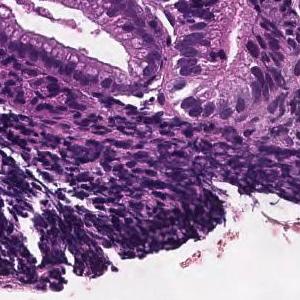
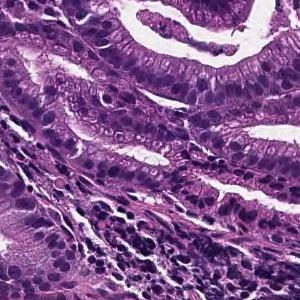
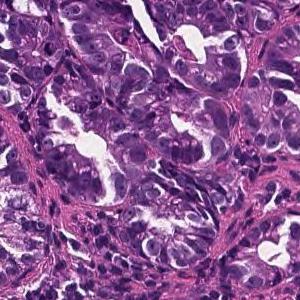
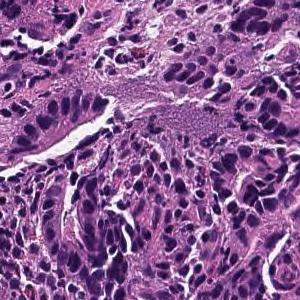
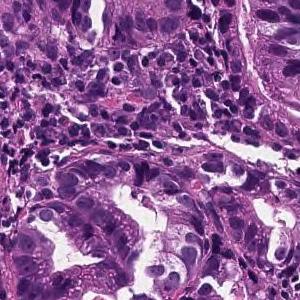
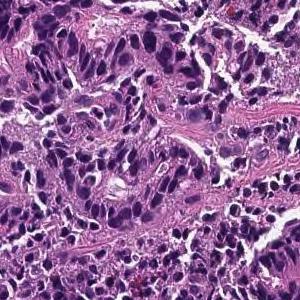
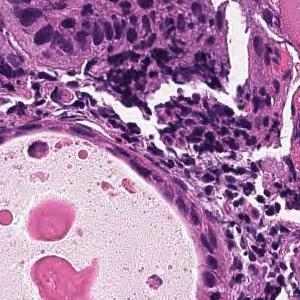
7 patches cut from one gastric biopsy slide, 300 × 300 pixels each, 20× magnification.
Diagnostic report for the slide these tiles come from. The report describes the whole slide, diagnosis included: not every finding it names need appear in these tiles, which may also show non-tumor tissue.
On the superficial epithelium, tumor tissue consisting of large irregular glandular ducts partially fused and infiltrated is observed. Well to moderately differentiated tubular adenocarcinoma (well differentiated tubular adenocarcinoma, moderately differentiated tubular adenocarcinoma)
Tumor subtype: well to moderately differentiated tubular adenocarcinoma.
